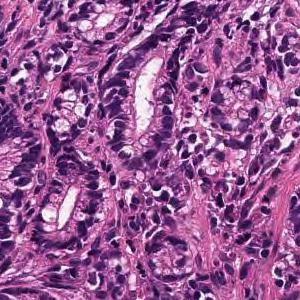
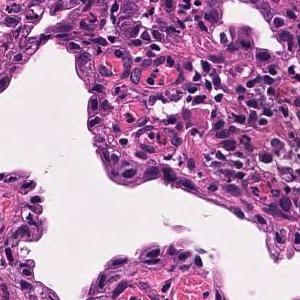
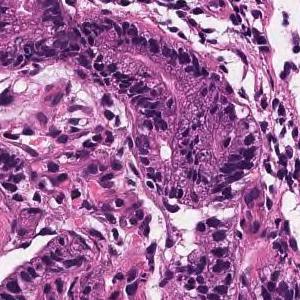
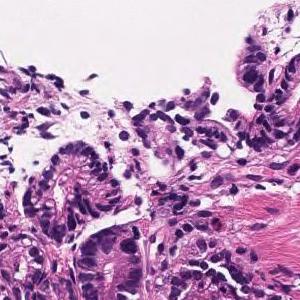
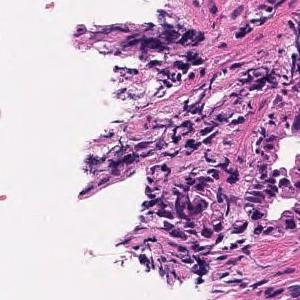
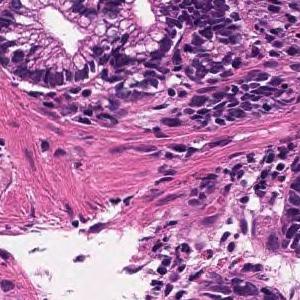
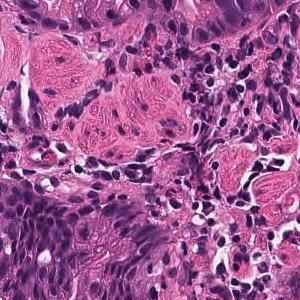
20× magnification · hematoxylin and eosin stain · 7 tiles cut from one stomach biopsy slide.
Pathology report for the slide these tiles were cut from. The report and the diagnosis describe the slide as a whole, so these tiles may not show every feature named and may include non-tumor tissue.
Tumor tissue in which medium to small irregular ducts infiltrate and proliferate in the submucosa can be seen in the epithelium. Well differentiated tubular adenocarcinoma
